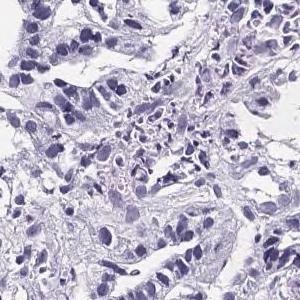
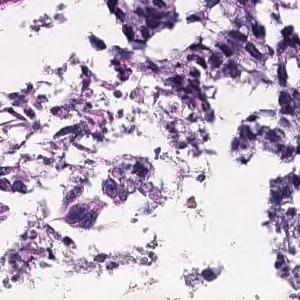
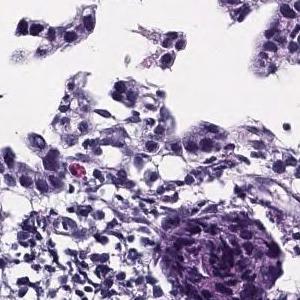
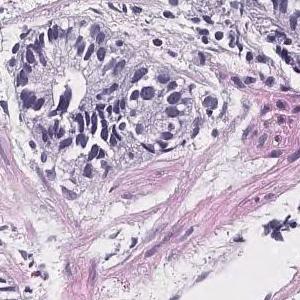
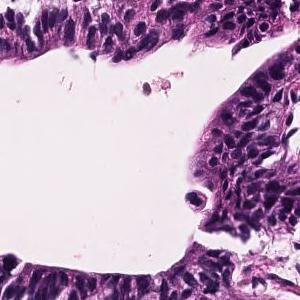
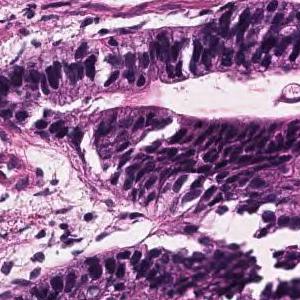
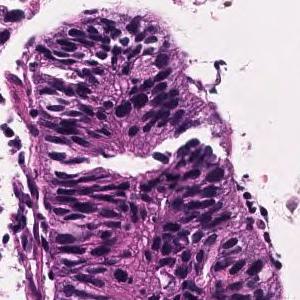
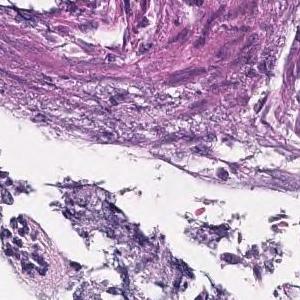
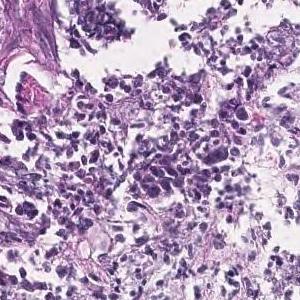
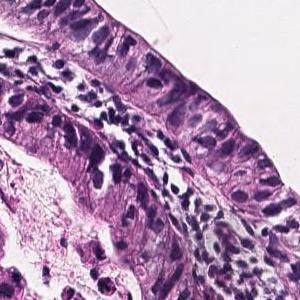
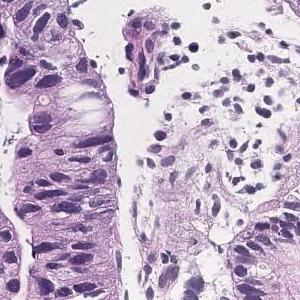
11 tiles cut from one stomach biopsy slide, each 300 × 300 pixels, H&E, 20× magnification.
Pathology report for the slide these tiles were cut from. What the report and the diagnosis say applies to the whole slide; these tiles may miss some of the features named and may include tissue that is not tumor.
Tumor cells are large, highly columnar, large club-shaped nuclei, and are associated with chromatin aggregation. Papillary adenocarcinoma.
